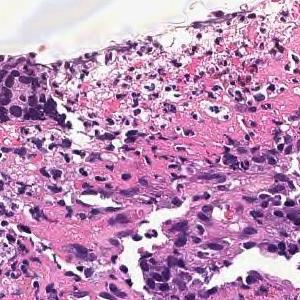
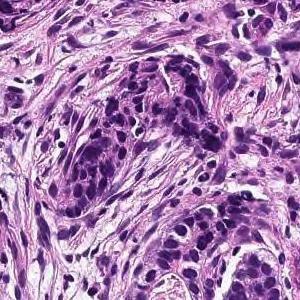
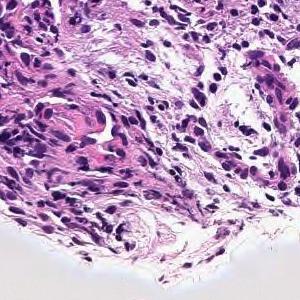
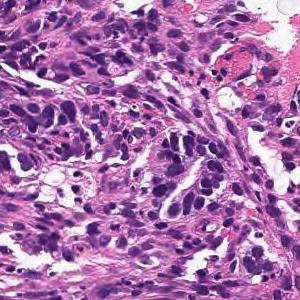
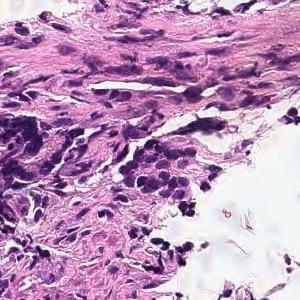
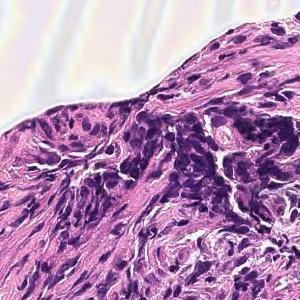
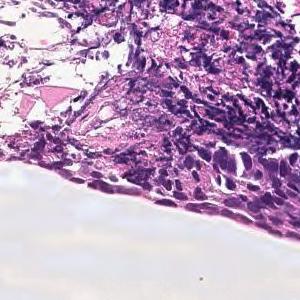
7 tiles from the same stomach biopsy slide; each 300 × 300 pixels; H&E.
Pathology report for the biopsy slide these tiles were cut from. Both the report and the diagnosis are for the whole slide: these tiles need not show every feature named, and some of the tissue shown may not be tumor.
Tumor tissue consisting of medium-sized, cord-like or irregular glandular infiltration is observed in the superficial epithelium. Poorly differentiated adenocarcinoma, non-solid type or moderately differentiated tubular adenocarcinoma
Histologic type: Moderately to poorly differentiated adenocarcinoma.
The term "non-solid type" comes from the Japanese Classification of Gastric Carcinoma.
